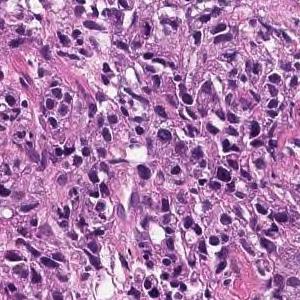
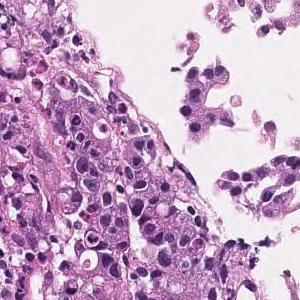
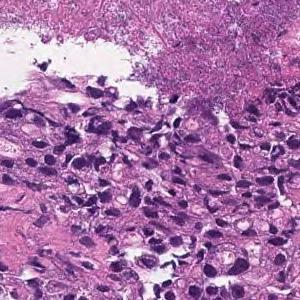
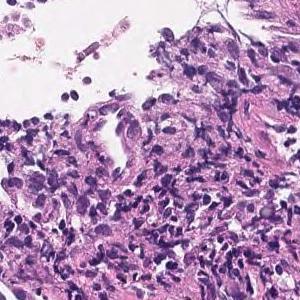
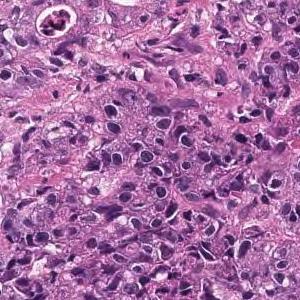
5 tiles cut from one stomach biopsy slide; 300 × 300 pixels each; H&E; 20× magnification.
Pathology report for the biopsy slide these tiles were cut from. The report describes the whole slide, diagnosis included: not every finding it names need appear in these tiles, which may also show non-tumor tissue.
Medium to small, irregular glandular ducts are formed in the superficial epithelium, and in some cases, the glandular ducts are fused to show solid alveolar lesions and infiltrating tumor tissue is observed. Moderately to poorly differentiated adenocarcinoma.
